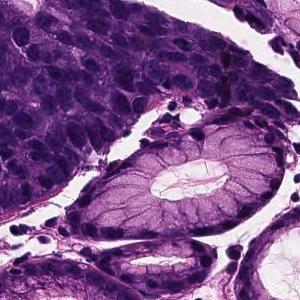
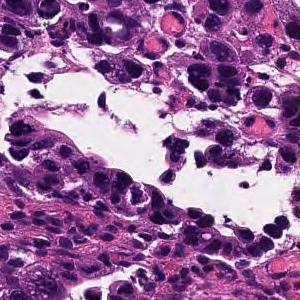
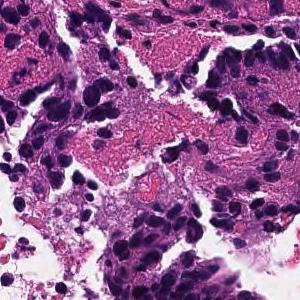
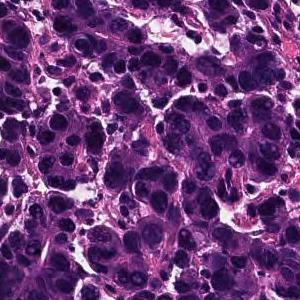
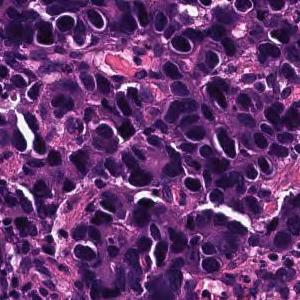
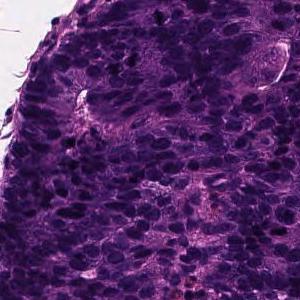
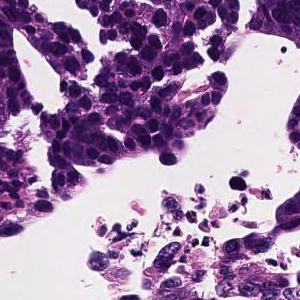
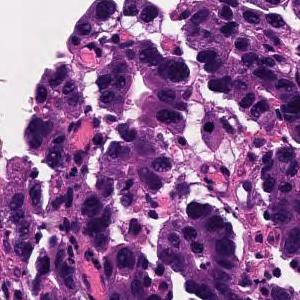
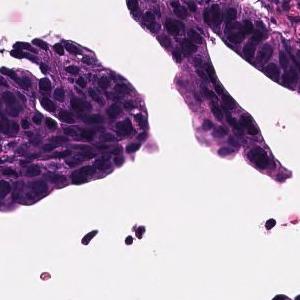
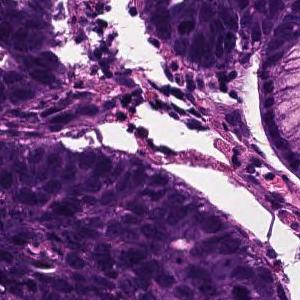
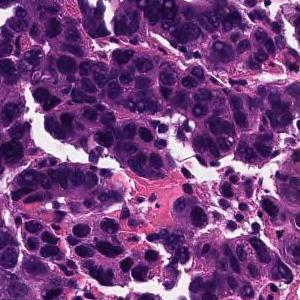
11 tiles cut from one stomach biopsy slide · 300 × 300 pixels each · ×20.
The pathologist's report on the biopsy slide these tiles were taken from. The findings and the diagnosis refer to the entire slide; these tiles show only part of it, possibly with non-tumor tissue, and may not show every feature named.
In the superficial epithelium, tumor tissue that invades by forming medium-sized to small, irregular ducts is observed. moderately differentiated tubular adenocarcinoma.
